15 patches cut from one gastric biopsy slide; 300×300 px each; H&E.
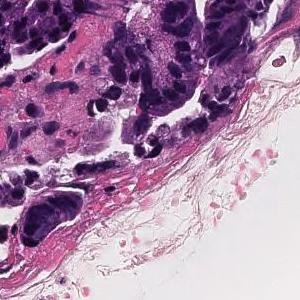
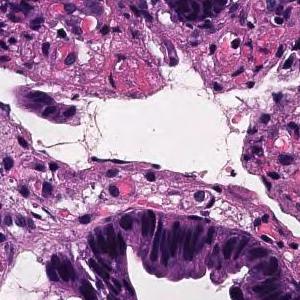
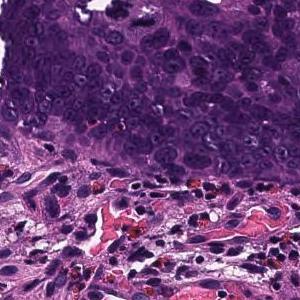
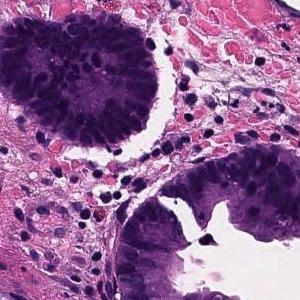
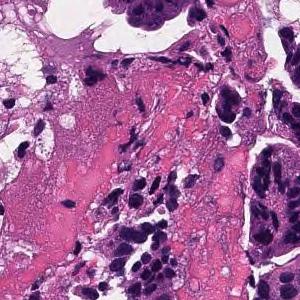
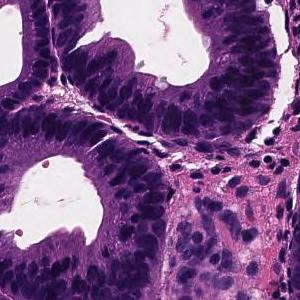
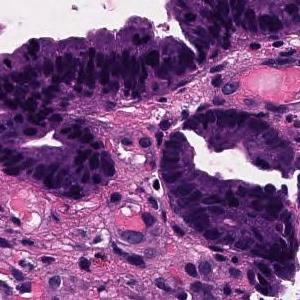
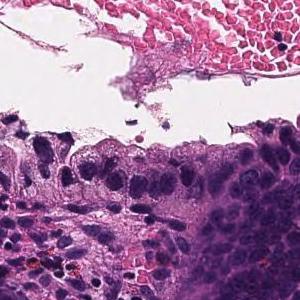
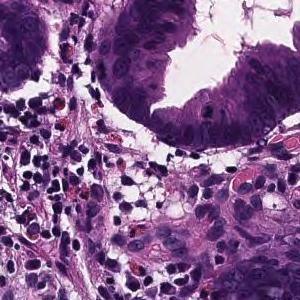
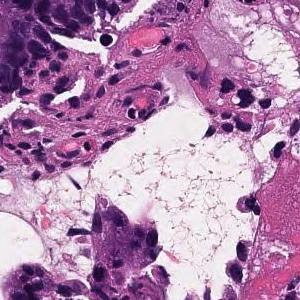
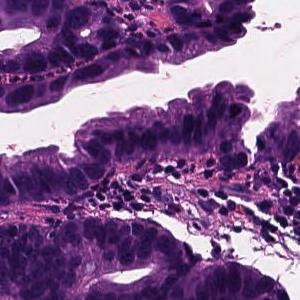
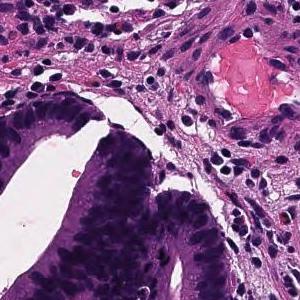
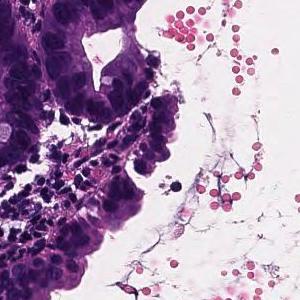
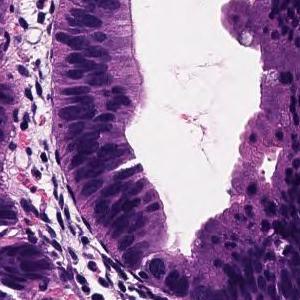
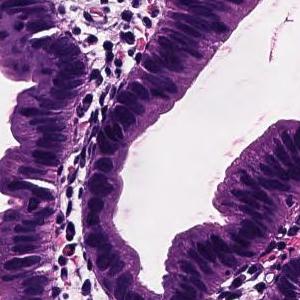
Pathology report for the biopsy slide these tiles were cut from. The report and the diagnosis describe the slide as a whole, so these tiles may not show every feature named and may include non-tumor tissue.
Tumor cells are large, highly columnar, large club-shaped nuclei, and are associated with chromatin aggregation. Papillary adenocarcinoma.
